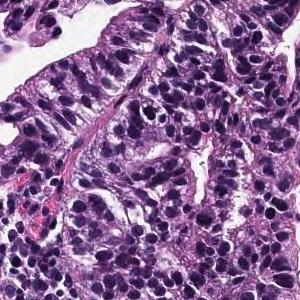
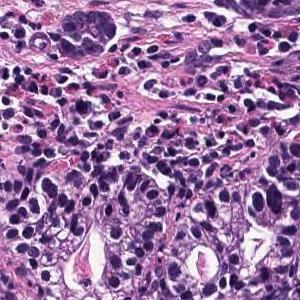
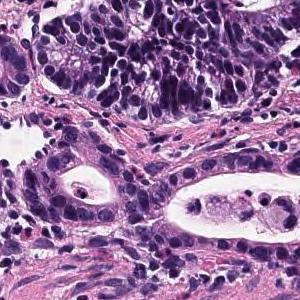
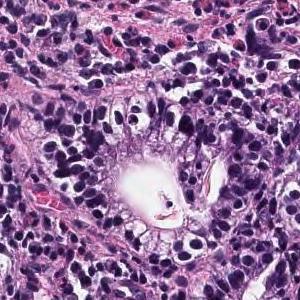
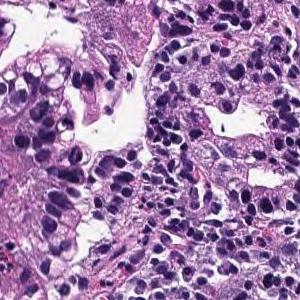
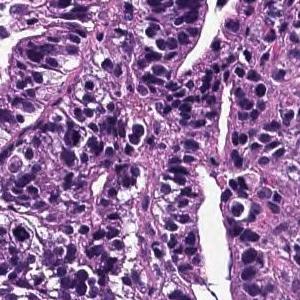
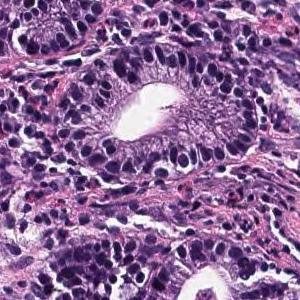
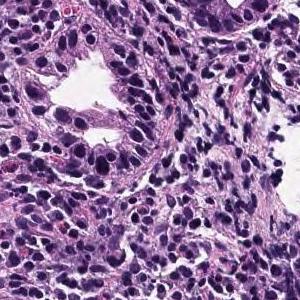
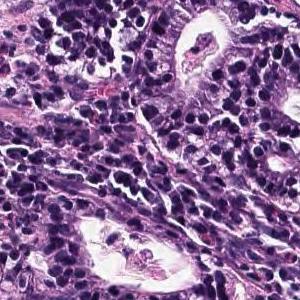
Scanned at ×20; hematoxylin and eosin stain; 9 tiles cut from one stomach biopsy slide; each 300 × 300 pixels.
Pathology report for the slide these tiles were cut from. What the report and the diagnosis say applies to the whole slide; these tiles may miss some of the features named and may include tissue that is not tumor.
Neoplastic cells with atypical nuclei of different sizes exhibit tubular glands and infiltrate and proliferate. Moderately differentiated tubular adenocarcinoma.
